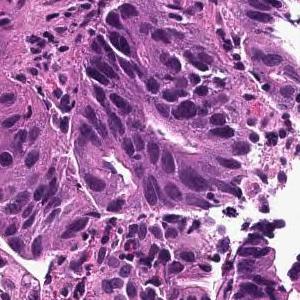
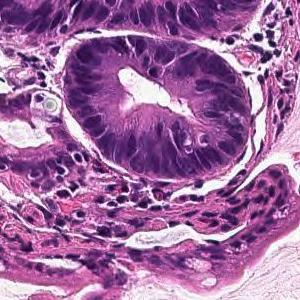
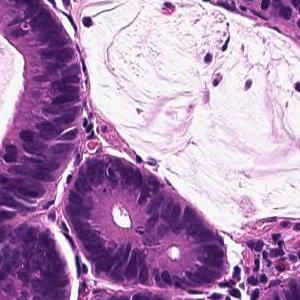
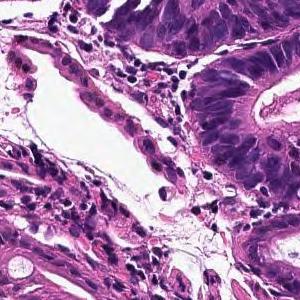
×20 · H&E stain · 4 tiles cut from one stomach biopsy slide · 300 × 300 pixels each.
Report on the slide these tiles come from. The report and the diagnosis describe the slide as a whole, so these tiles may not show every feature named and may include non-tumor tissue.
From the superficial epithelium to the muscularis mucosae, tumor tissue consisting of medium-sized and irregular glandular ducts infiltrating is observed. Well differentiated tubular adenocarcinoma
